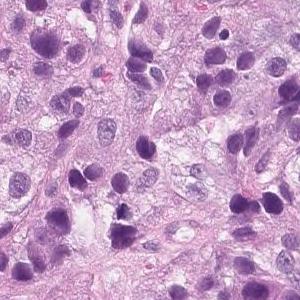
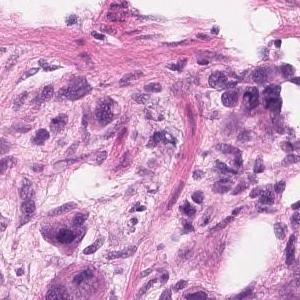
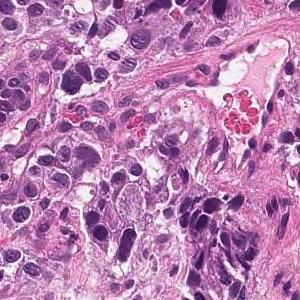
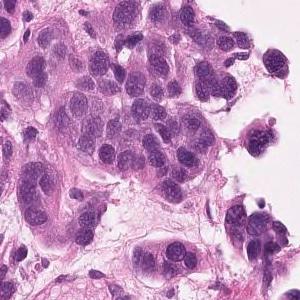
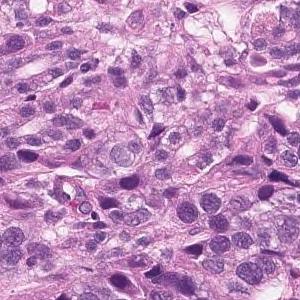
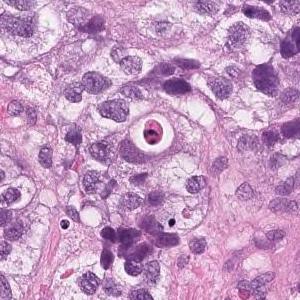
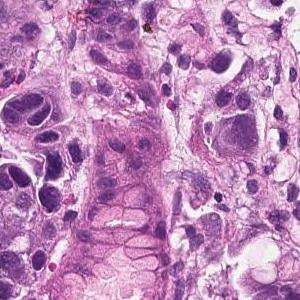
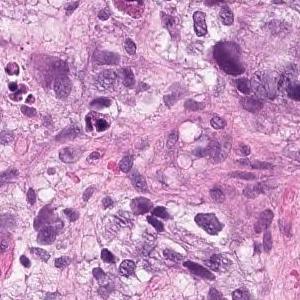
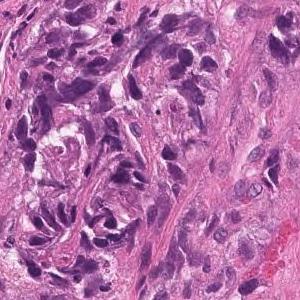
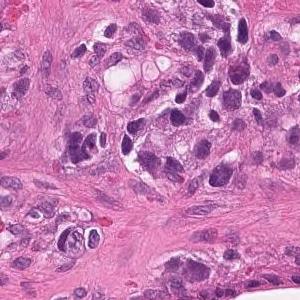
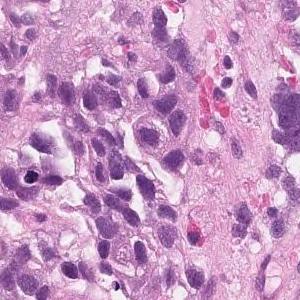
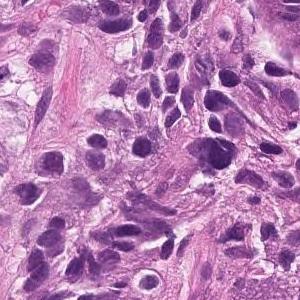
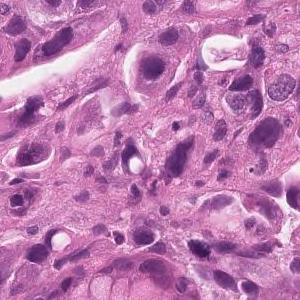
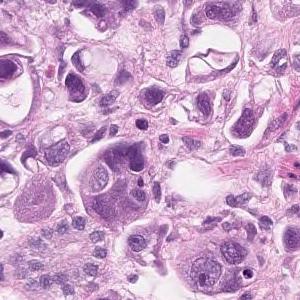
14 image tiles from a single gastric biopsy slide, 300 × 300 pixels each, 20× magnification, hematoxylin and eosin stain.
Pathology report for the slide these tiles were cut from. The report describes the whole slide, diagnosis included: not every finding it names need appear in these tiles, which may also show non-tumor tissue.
Tumor tissue that infiltrates the epithelium in an alveolar manner. Poorly differentiated adenocarcinoma, solid-type
Tumor subtype: poorly differentiated adenocarcinoma, solid type, a category of the Japanese Classification of Gastric Carcinoma; in the WHO 2019 classification it is tubular adenocarcinoma, poorly differentiated.
